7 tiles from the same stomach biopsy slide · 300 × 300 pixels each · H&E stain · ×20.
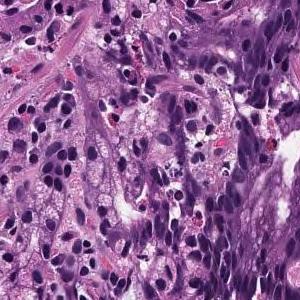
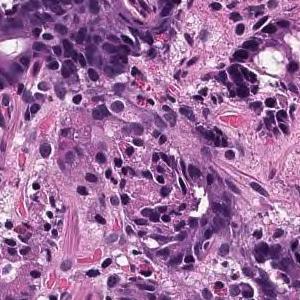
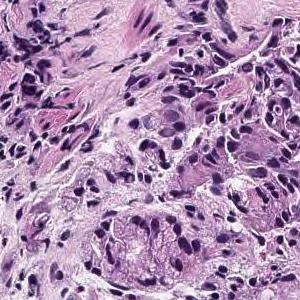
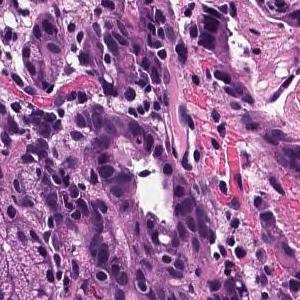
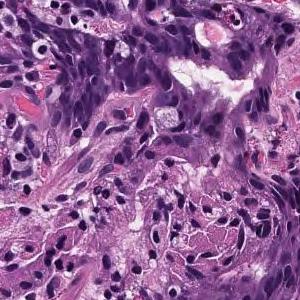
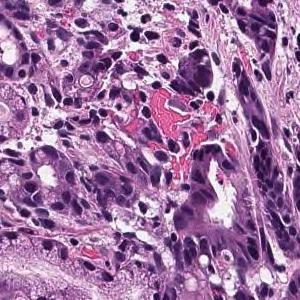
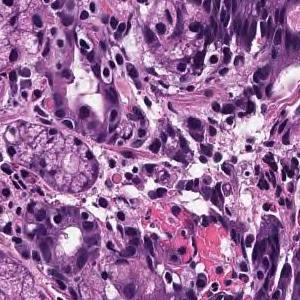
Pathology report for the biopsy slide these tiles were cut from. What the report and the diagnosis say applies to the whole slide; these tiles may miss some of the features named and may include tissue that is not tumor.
On the superficial epithelium, tumor tissue is found in which medium-sized irregular gland ducts fuse with each other and infiltrate. moderately differentiated tubular adenocarcinoma
